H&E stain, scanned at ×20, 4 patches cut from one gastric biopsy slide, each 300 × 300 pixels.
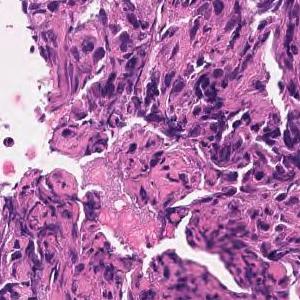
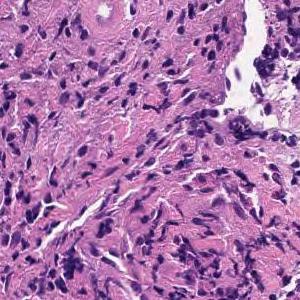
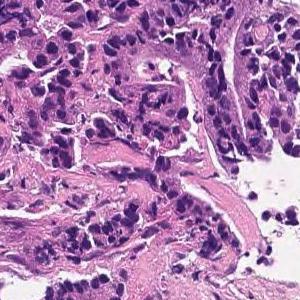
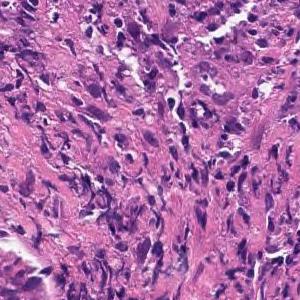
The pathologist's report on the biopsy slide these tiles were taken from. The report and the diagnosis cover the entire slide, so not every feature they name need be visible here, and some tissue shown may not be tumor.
Tumor tissue consisting of medium-sized, cord-like or irregular glandular infiltration is observed in the superficial epithelium. Poorly differentiated adenocarcinoma, non-solid type or moderately differentiated tubular adenocarcinoma
Subtype: Moderately to poorly differentiated adenocarcinoma.
The non-solid type named here is a Japanese Classification of Gastric Carcinoma category.
